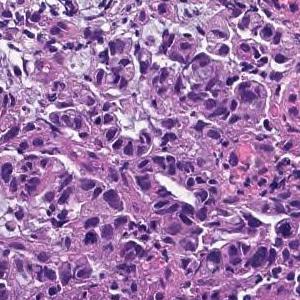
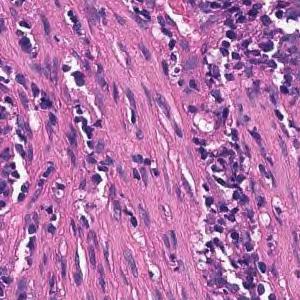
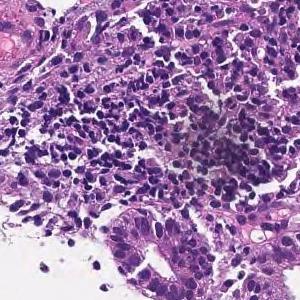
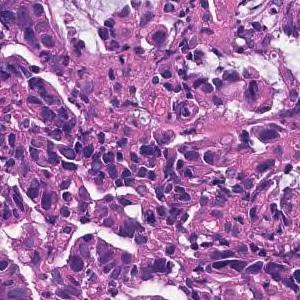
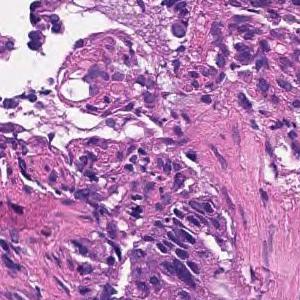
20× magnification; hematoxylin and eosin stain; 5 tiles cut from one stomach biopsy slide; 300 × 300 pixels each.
Report on the slide these tiles come from. The report and the diagnosis cover the entire slide, so not every feature they name need be visible here, and some tissue shown may not be tumor.
On the superficial epithelium, tumor tissue consisting of large, irregular glandular ducts partially fused and infiltrated is observed. Well to moderately differentiated tubular adenocarcinoma (well differentiated tubular adenocarcinoma, moderately differentiated tubular adenocarcinoma)
Tumor subtype: well to moderately differentiated tubular adenocarcinoma.
